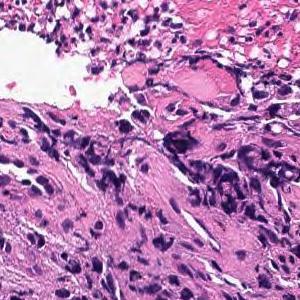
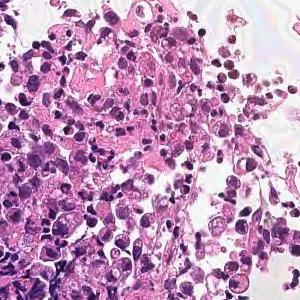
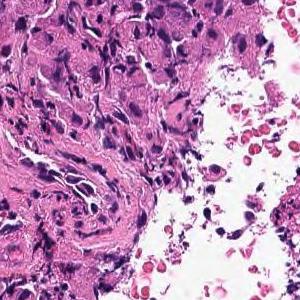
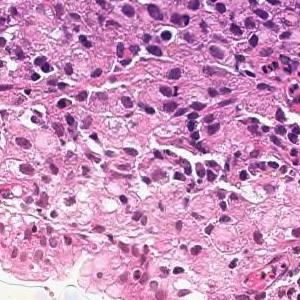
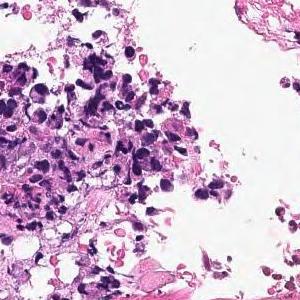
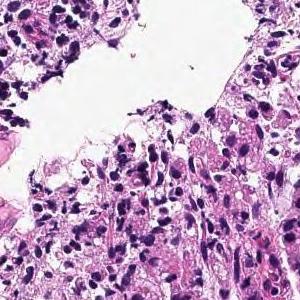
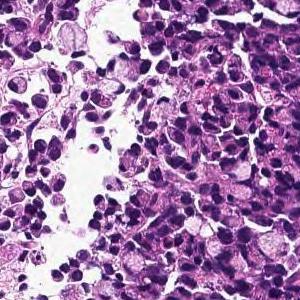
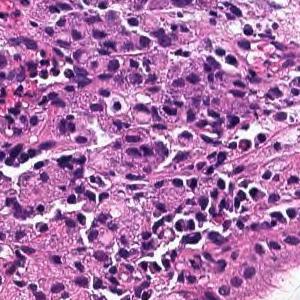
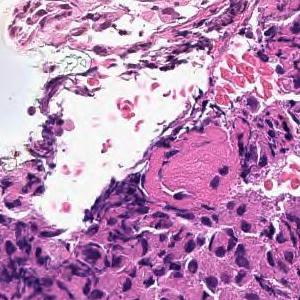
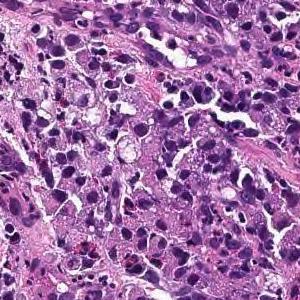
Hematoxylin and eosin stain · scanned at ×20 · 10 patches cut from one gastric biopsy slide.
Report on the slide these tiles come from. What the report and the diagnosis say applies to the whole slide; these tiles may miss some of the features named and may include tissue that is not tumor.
Tumor tissue consisting of diffusely infiltrated large atypical epithelial cells or signet ring atypical cells is observed in the superficial epithelium. Poorly differentiated adenocarcinoma, solid-type
Classified as poorly differentiated adenocarcinoma, solid type (Japanese Classification of Gastric Carcinoma). The WHO 2019 equivalent is tubular adenocarcinoma, poorly differentiated.
